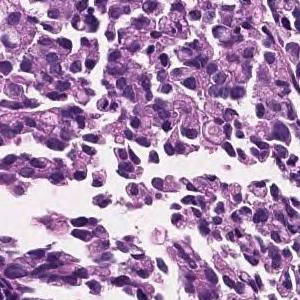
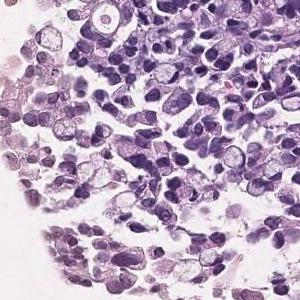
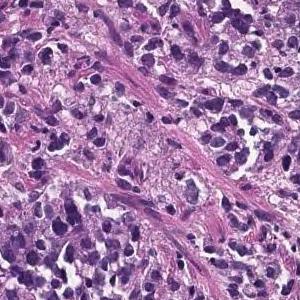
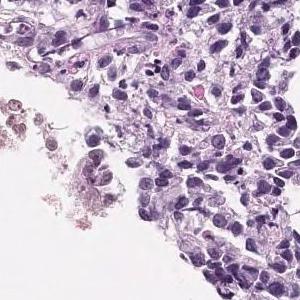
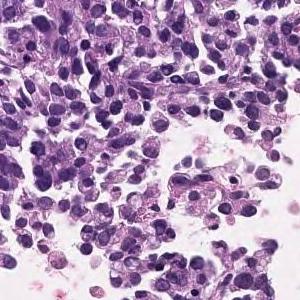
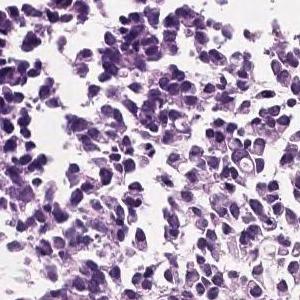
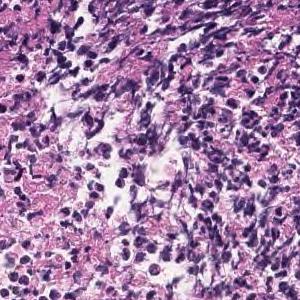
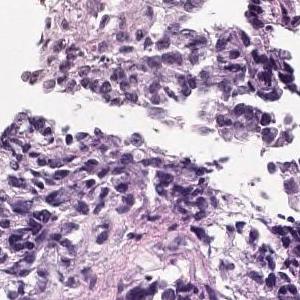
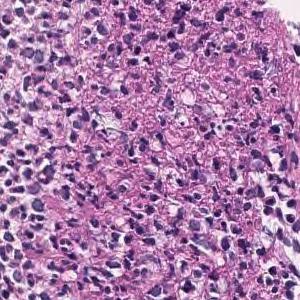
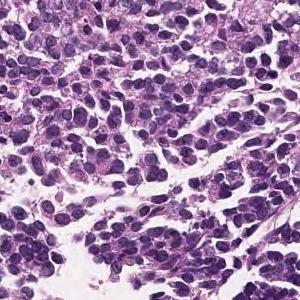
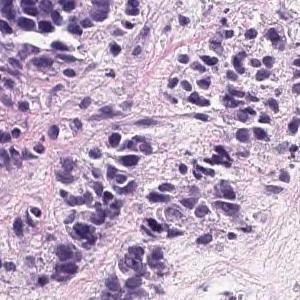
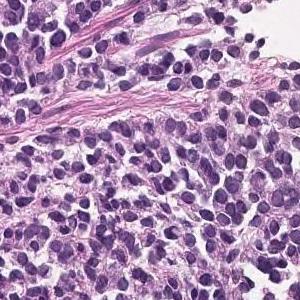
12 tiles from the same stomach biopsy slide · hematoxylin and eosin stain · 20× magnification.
Diagnostic report for the slide these tiles come from. Both the report and the diagnosis are for the whole slide: these tiles need not show every feature named, and some of the tissue shown may not be tumor.
The superficial epithelium shows a large sheet-like shape, and some tumor tissue infiltrates with small irregular ducts. Poorly differentiated adenocarcinoma, solid-type
Tumor subtype: poorly differentiated adenocarcinoma, solid type. This name comes from the Japanese Classification of Gastric Carcinoma; the WHO 2019 classification calls it tubular adenocarcinoma, poorly differentiated.
